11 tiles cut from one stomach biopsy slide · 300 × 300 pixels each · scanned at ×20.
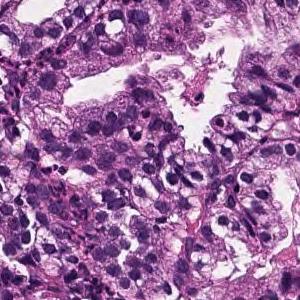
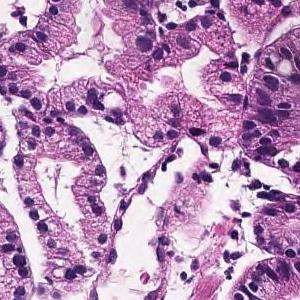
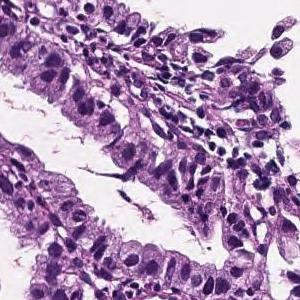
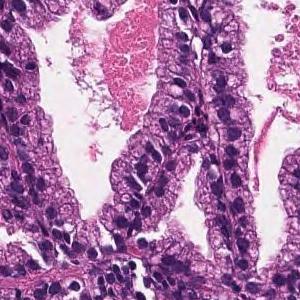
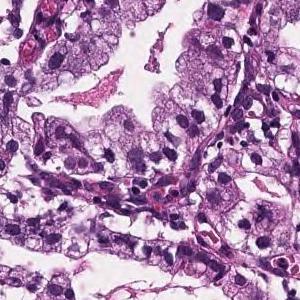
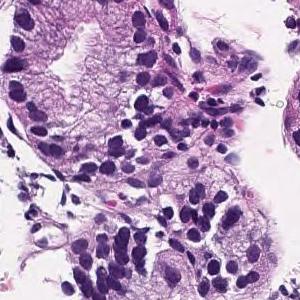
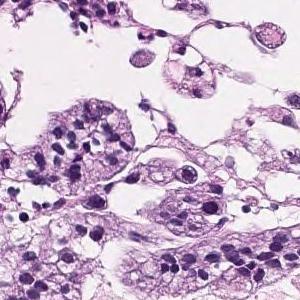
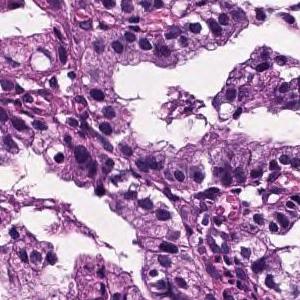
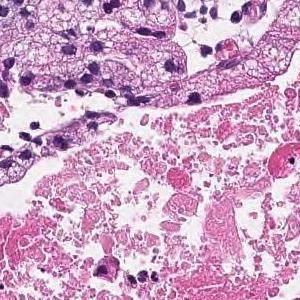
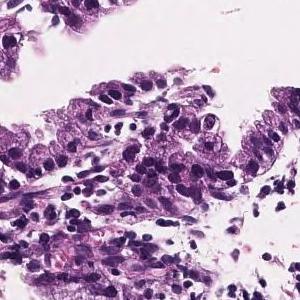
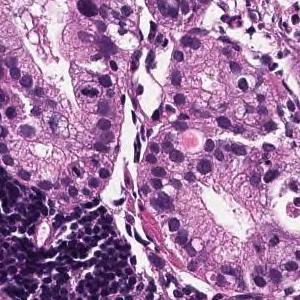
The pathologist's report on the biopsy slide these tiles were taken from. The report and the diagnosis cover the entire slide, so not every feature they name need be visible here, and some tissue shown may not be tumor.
In the superficial epithelium, tumor tissue that infiltrates by forming medium-sized papillary or small irregular ducts is observed. Papillary adenocarcinoma
